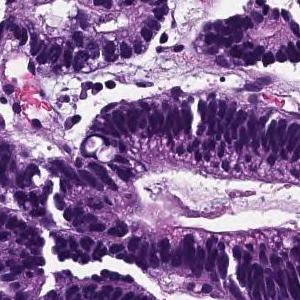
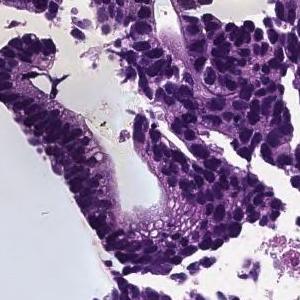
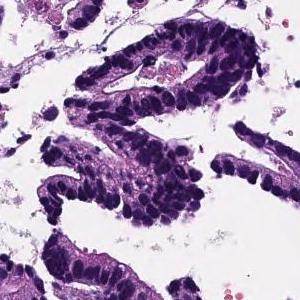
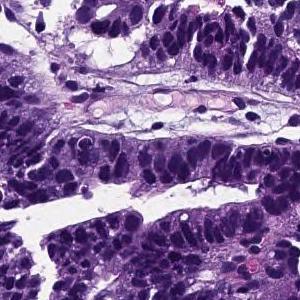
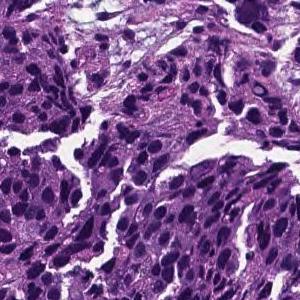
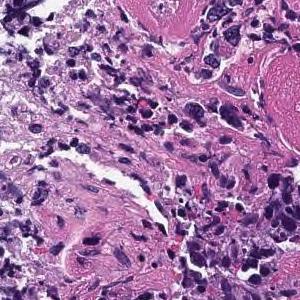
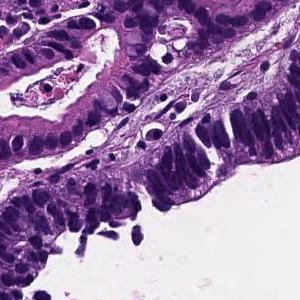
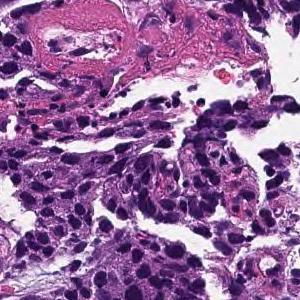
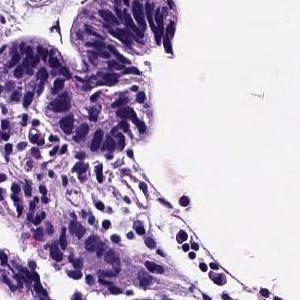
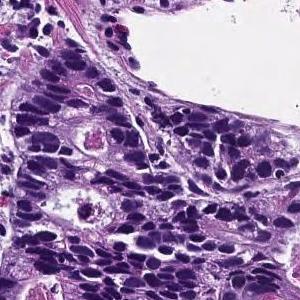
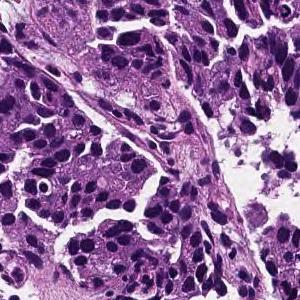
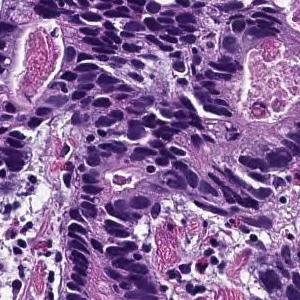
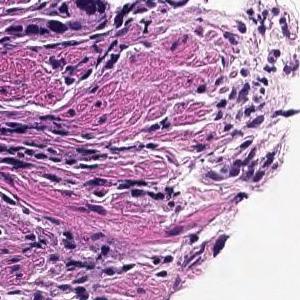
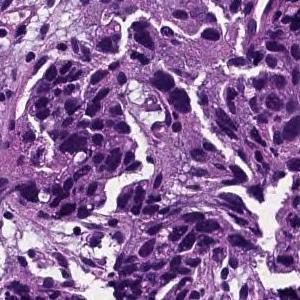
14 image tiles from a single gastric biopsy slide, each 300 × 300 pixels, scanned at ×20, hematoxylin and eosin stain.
Pathology report for the biopsy slide these tiles were cut from. The report describes the whole slide, diagnosis included: not every finding it names need appear in these tiles, which may also show non-tumor tissue.
From the superficial epithelium to the muscularis mucosae, tumor tissue consisting of medium-sized and irregular glandular ducts infiltrating is observed. Well differentiated tubular adenocarcinoma
